H&E, scanned at ×20, 4 image tiles from a single gastric biopsy slide, 300 × 300 pixels each.
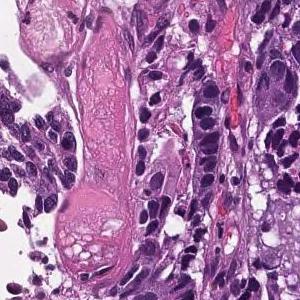
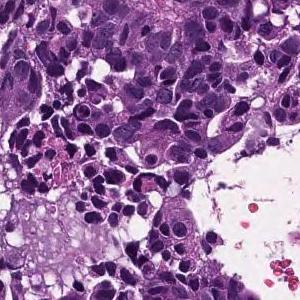
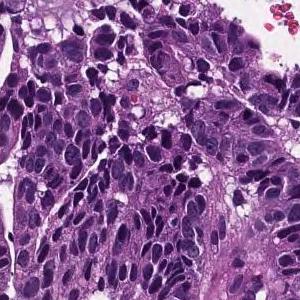
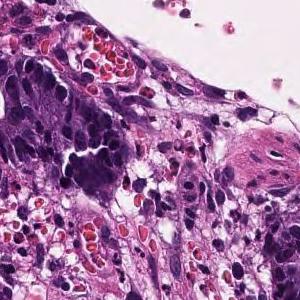
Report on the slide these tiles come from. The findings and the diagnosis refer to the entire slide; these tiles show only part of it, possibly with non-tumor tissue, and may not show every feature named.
Tumor tissue consisting of large, irregular glandular ducts, centered on the submucosa, infiltrated by fusion with each other is observed. Well to moderately differentiated tubular adenocarcinoma (well differentiated tubular adenocarcinoma-moderately differentiated tubular adenocarcinoma)
Tumor subtype: well to moderately differentiated tubular adenocarcinoma.
